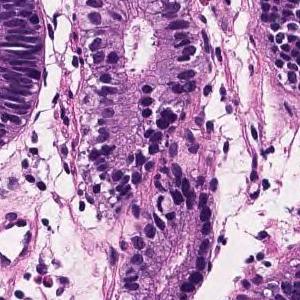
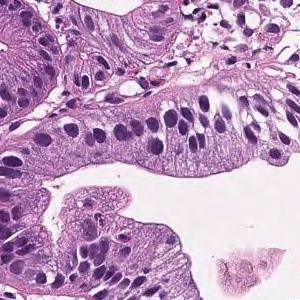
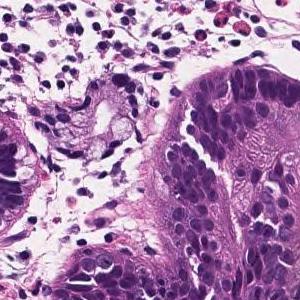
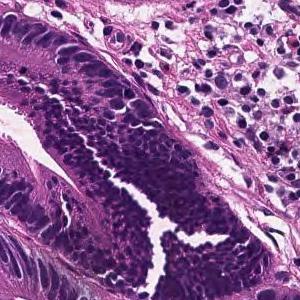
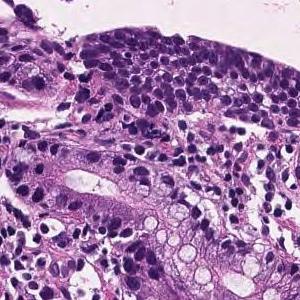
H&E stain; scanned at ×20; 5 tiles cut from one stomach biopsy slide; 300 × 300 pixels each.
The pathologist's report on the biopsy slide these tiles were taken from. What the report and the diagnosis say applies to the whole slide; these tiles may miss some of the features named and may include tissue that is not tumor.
In the superficial epithelium, tumor tissue that invades by forming medium-sized to small, irregular ducts is observed. Well differentiated tubular adenocarcinoma.
